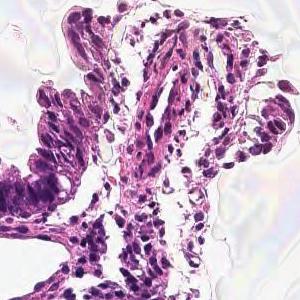
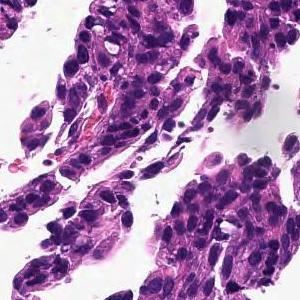
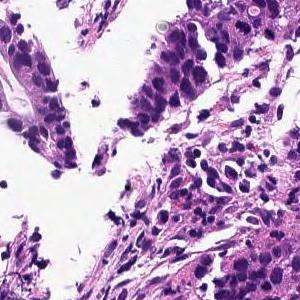
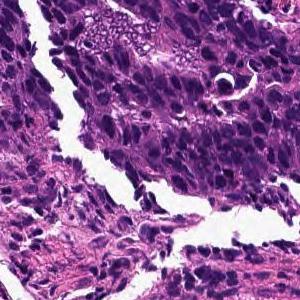
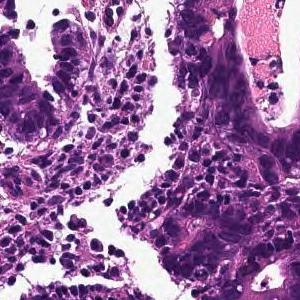
20× magnification; 5 tiles cut from one stomach biopsy slide.
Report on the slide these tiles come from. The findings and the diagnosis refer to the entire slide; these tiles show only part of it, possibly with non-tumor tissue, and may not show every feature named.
In the superficial epithelium, tumor tissue that invades by forming medium-sized to small, irregular ducts is observed. moderately differentiated tubular adenocarcinoma.
